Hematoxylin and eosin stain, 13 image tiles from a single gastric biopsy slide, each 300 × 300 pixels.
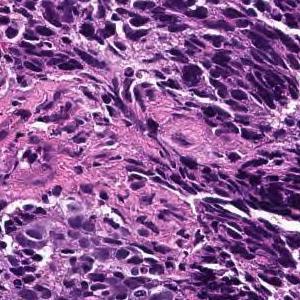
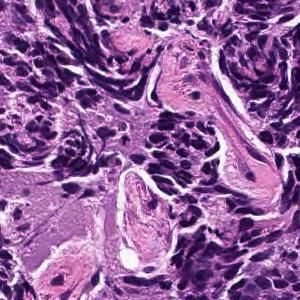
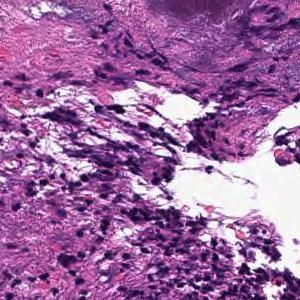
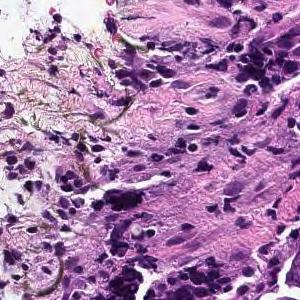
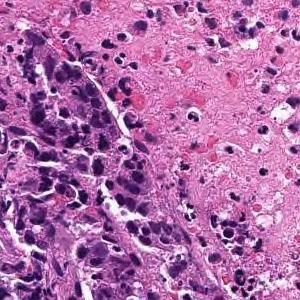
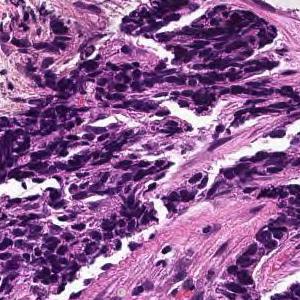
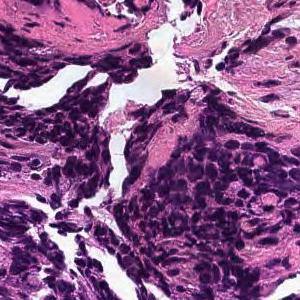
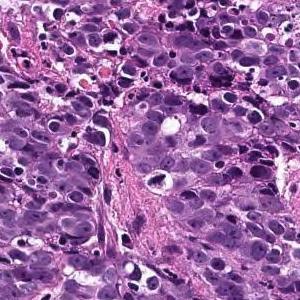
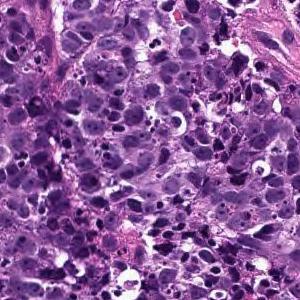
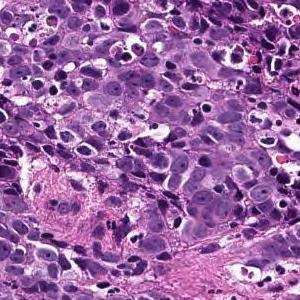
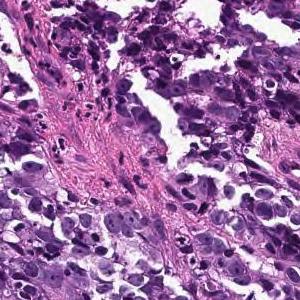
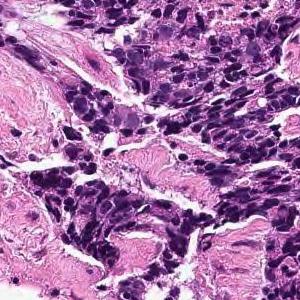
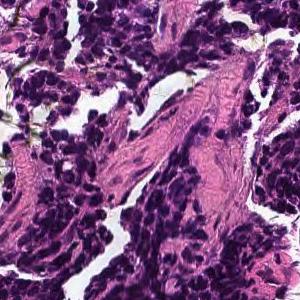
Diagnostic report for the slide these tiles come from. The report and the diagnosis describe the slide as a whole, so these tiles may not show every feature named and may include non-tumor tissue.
The superficial epithelium shows a large sheet or alveolar shape, and tumor tissue infiltrating without irregular ducts is observed. Poorly differentiated adenocarcinoma, solid-type
Tumor subtype: poorly differentiated adenocarcinoma, solid type, a category of the Japanese Classification of Gastric Carcinoma; in the WHO 2019 classification it is tubular adenocarcinoma, poorly differentiated.
